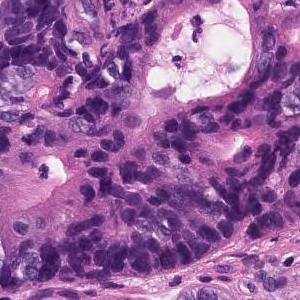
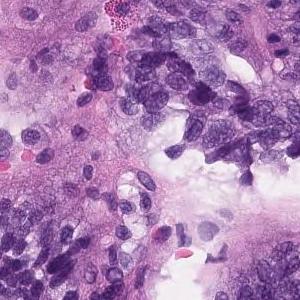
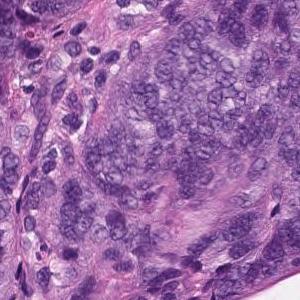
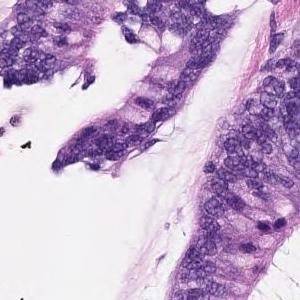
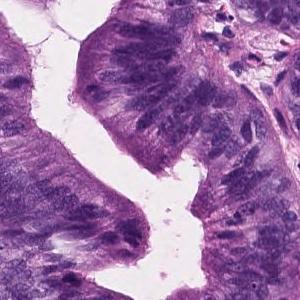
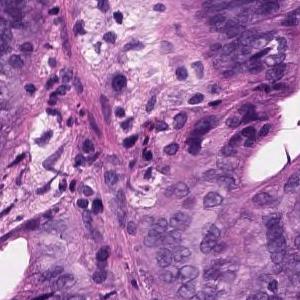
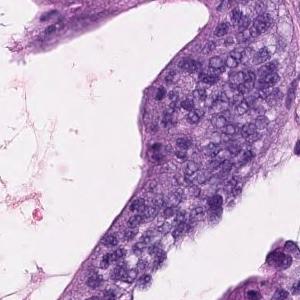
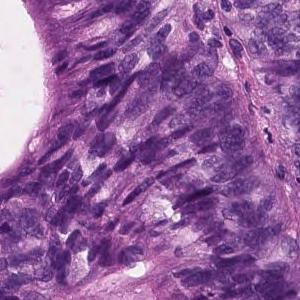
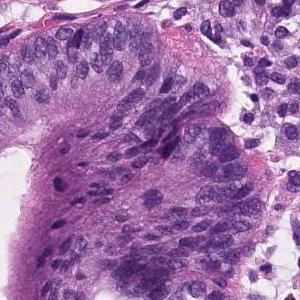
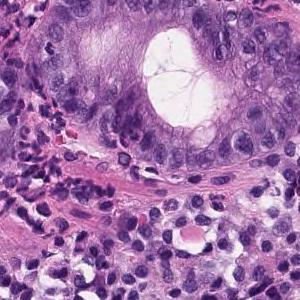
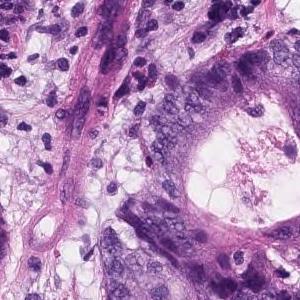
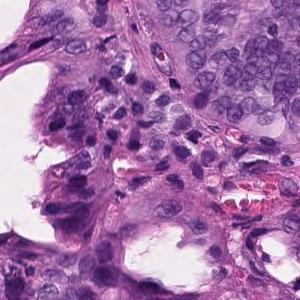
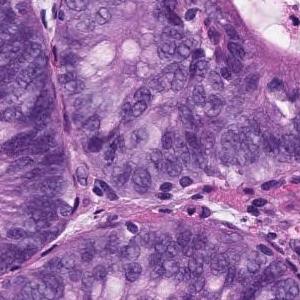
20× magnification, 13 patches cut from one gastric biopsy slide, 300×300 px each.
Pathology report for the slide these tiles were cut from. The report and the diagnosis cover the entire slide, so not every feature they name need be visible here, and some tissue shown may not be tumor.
Group 5, Well differentiated tubular adenocarcinoma.
